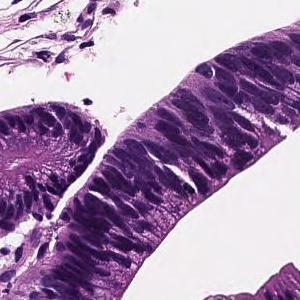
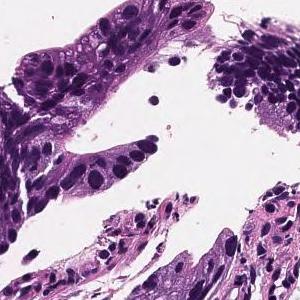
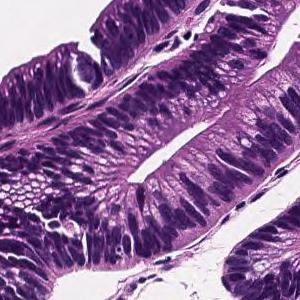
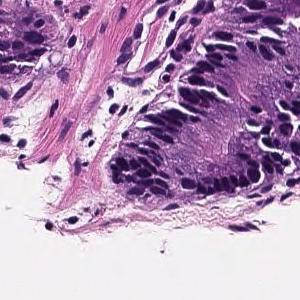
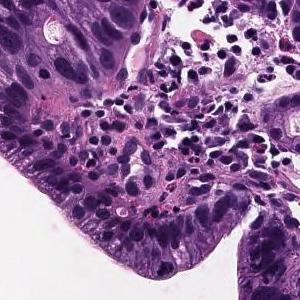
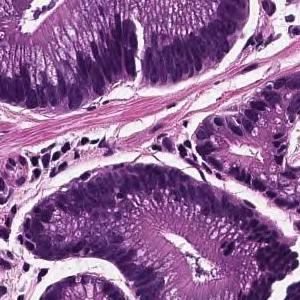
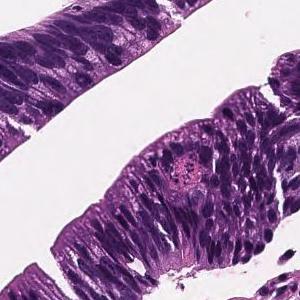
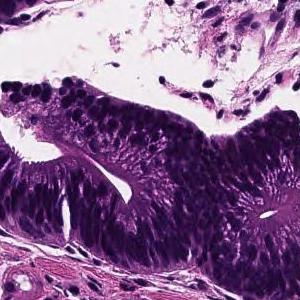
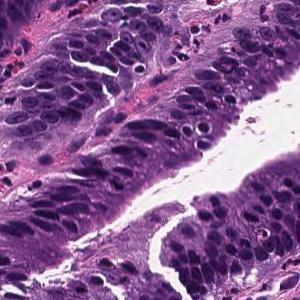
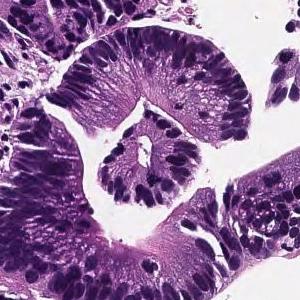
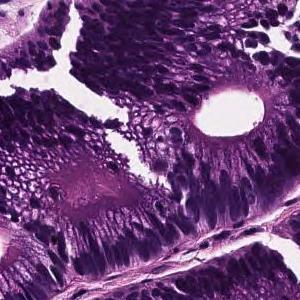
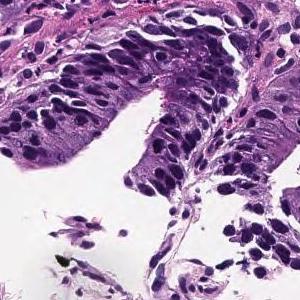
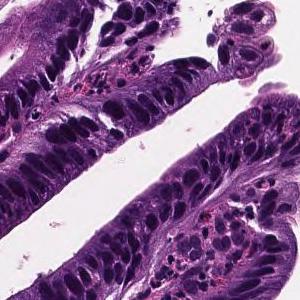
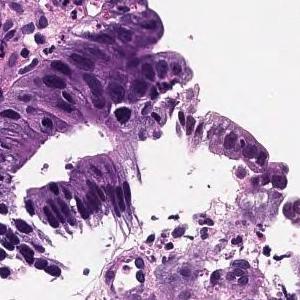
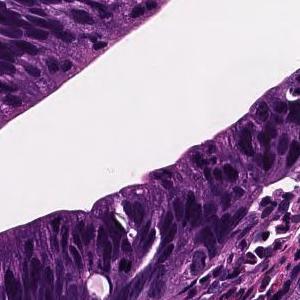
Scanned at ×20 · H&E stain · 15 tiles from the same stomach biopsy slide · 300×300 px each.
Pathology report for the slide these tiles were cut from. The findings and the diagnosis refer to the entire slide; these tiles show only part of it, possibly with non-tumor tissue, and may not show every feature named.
Tumor cells are large, highly columnar, large club-shaped nuclei, and are associated with chromatin aggregation. Papillary adenocarcinoma.
